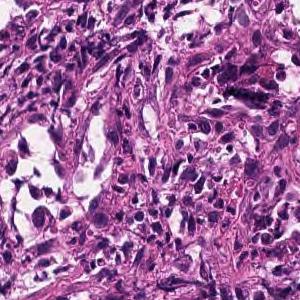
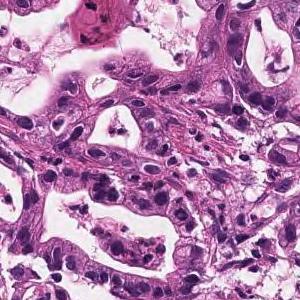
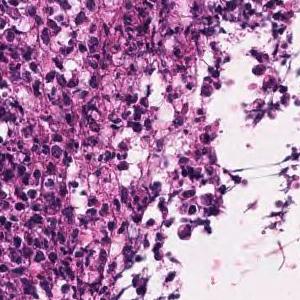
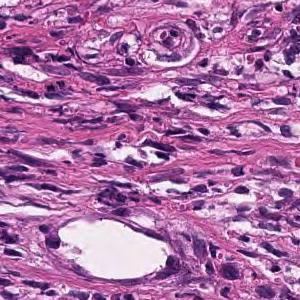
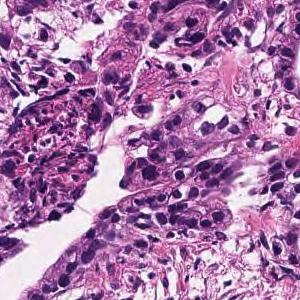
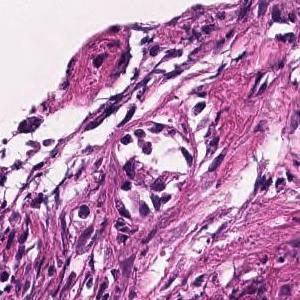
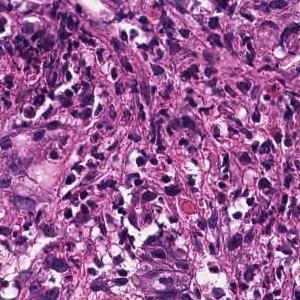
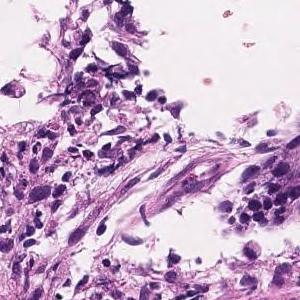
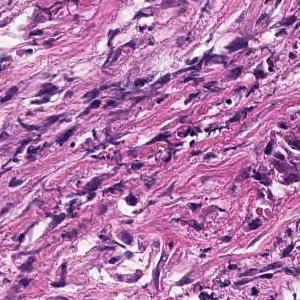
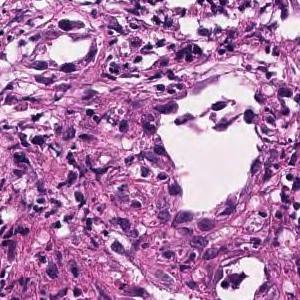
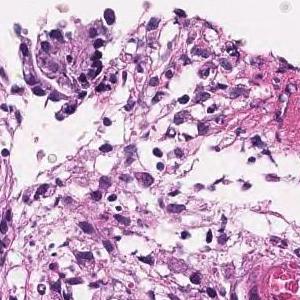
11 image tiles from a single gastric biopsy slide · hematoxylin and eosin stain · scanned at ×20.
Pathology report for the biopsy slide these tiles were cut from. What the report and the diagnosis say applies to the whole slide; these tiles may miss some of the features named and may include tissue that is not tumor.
In the superficial epithelium, medium to small, irregular gland ducts are formed, and in some cases, the gland ducts are fused to show solid alveolar lesions and infiltrating tumor tissue is observed. Moderately to poorly differentiated adenocarcinoma.
